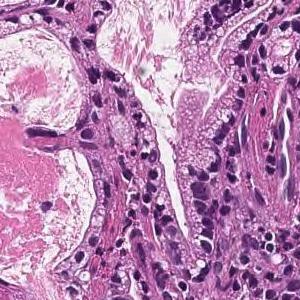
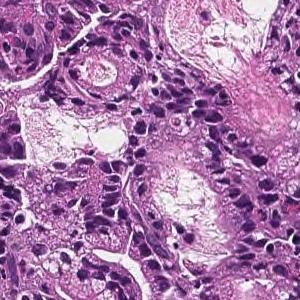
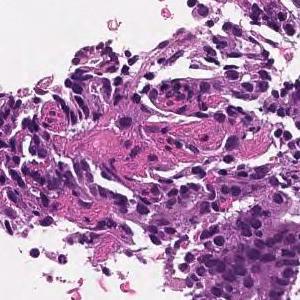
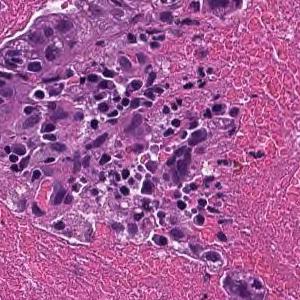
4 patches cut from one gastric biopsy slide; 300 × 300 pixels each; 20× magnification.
Report on the slide these tiles come from. What the report and the diagnosis say applies to the whole slide; these tiles may miss some of the features named and may include tissue that is not tumor.
On the superficial epithelium, tumor tissue that infiltrates by forming medium-sized papillary or small irregular ducts is observed. Papillary adenocarcinoma
